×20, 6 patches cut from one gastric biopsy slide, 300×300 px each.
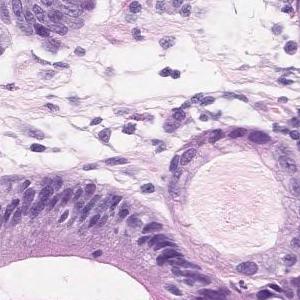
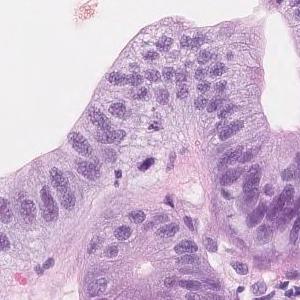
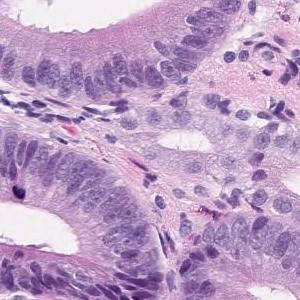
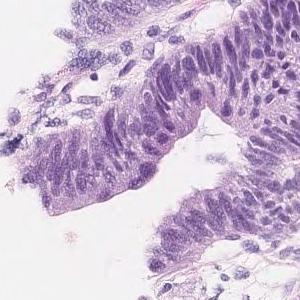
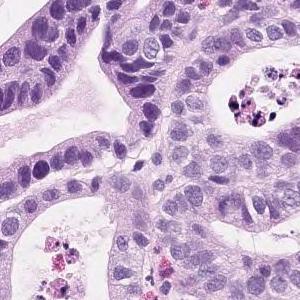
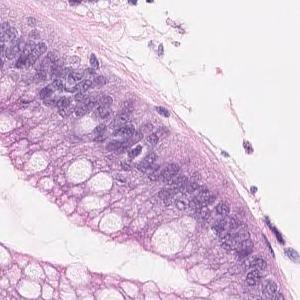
Pathology report for the biopsy slide these tiles were cut from. What the report and the diagnosis say applies to the whole slide; these tiles may miss some of the features named and may include tissue that is not tumor.
Short atypical epithelium with swelling of the nucleus shows proliferating, large and small irregular ductal structures. Well to moderately differentiated tubular adenocarcinoma (well differentiated tubular adenocarcinoma-moderately differentiated tubular adenocarcinoma)
Subtype: Well to moderately differentiated tubular adenocarcinoma.
